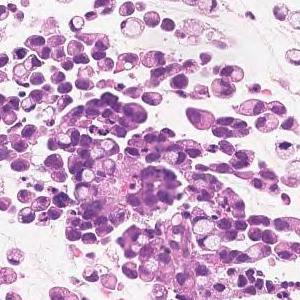
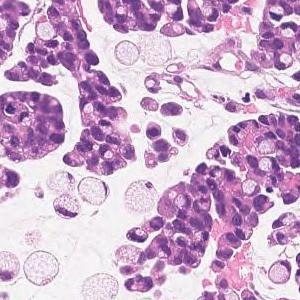
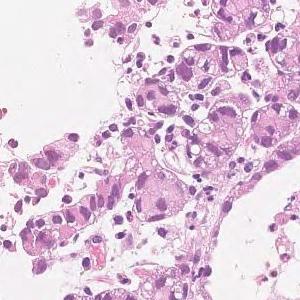
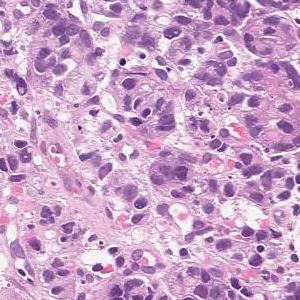
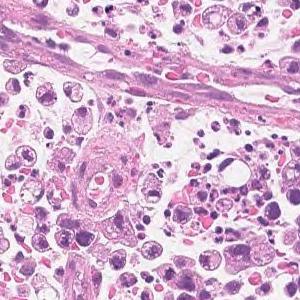
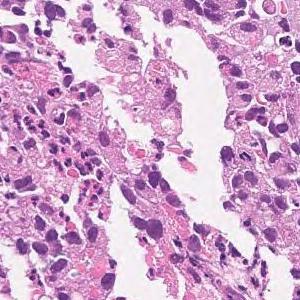
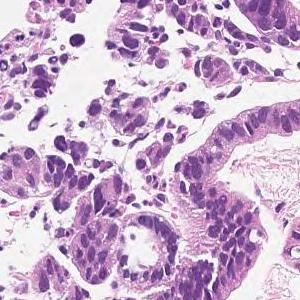
7 patches cut from one gastric biopsy slide · 300 × 300 pixels each · scanned at ×20 · hematoxylin and eosin stain.
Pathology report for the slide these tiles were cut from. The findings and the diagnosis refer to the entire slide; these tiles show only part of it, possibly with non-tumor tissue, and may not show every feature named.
Medium to small, irregular glandular ducts are formed in the superficial epithelium, and in some cases, the glandular ducts are fused to show solid alveolar lesions and infiltrating tumor tissue is observed. Moderately to poorly differentiated adenocarcinoma.
